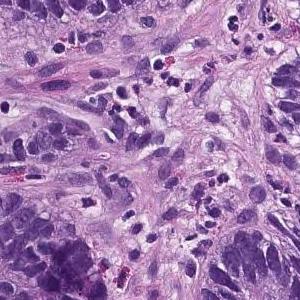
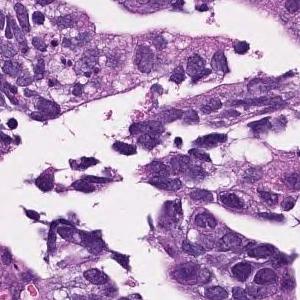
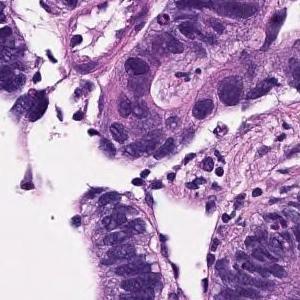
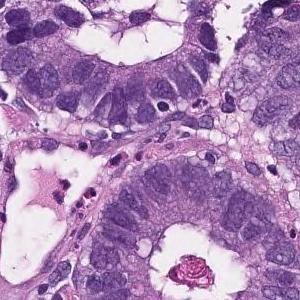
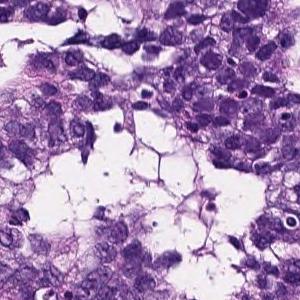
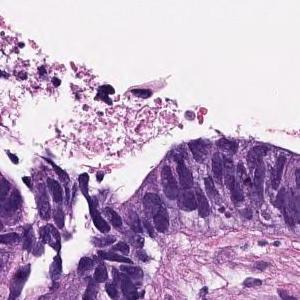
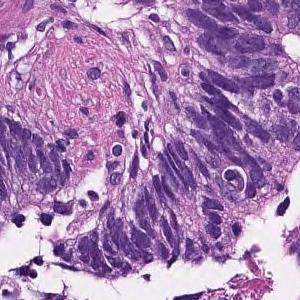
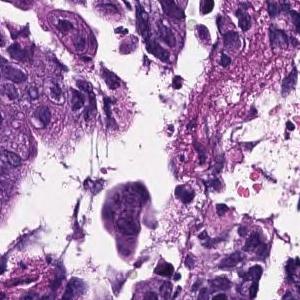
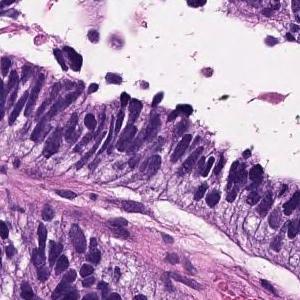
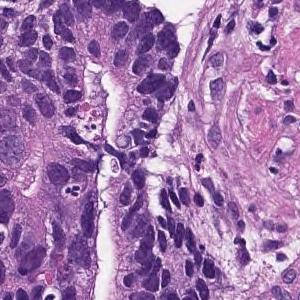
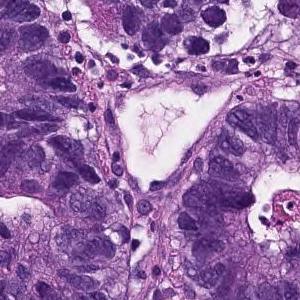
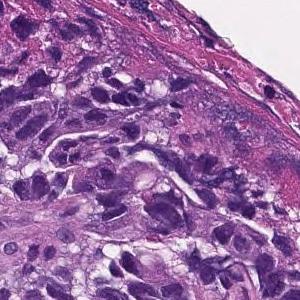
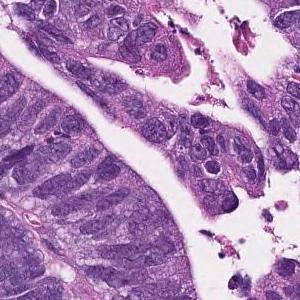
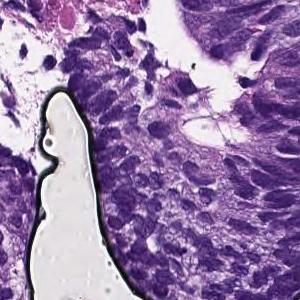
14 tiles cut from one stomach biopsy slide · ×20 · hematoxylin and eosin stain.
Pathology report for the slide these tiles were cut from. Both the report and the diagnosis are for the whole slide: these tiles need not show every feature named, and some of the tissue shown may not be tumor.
In the superficial epithelium, tumor tissue that invades by forming medium-sized to small, irregular ducts is observed. moderately differentiated tubular adenocarcinoma.
